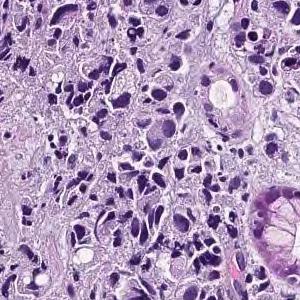
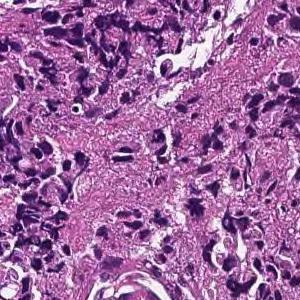
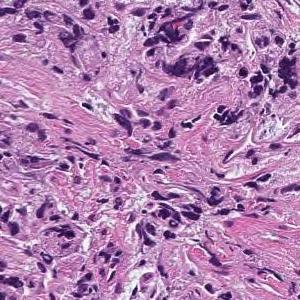
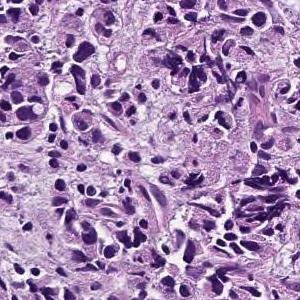
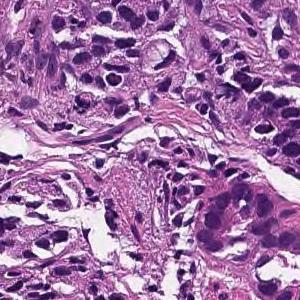
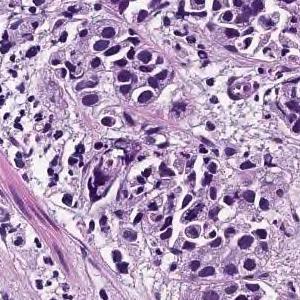
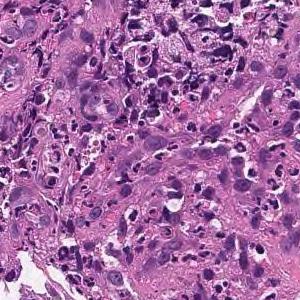
Scanned at ×20 · H&E stain · 7 patches cut from one gastric biopsy slide.
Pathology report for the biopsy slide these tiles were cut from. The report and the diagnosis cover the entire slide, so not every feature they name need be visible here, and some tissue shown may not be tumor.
The lamina propria shows small cord-like tumor tissue that infiltrates with fibrosis and marked chronic inflammatory cell infiltration. Poorly differentiated adenocarcinoma, non-solid type
"Non-solid type" is a category of the Japanese Classification of Gastric Carcinoma.
